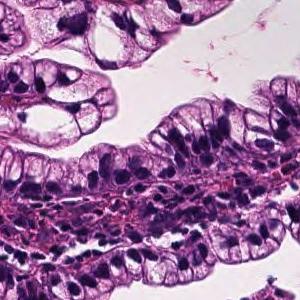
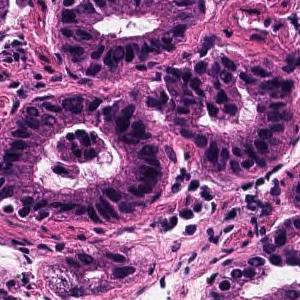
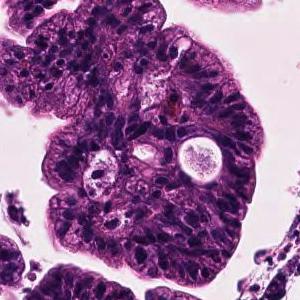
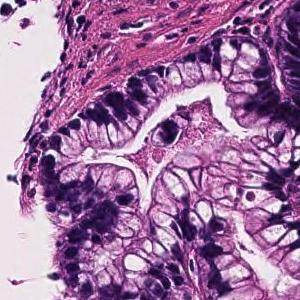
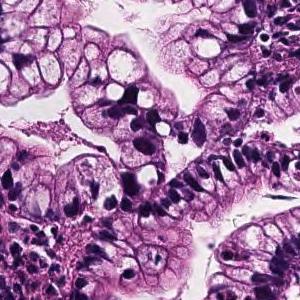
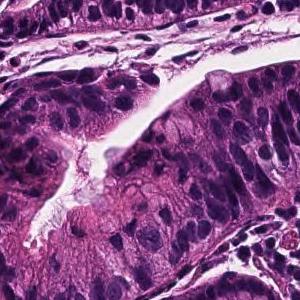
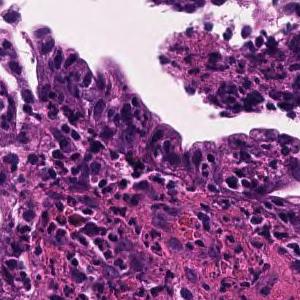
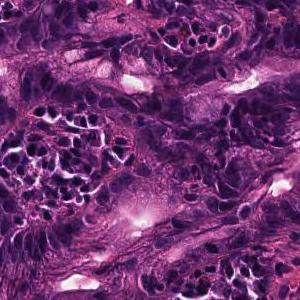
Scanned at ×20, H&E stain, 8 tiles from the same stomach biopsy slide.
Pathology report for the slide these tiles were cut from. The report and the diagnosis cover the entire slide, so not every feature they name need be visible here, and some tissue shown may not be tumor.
Tumor cells are large, highly columnar, large club-shaped nuclei, and are associated with chromatin aggregation. Papillary adenocarcinoma.
